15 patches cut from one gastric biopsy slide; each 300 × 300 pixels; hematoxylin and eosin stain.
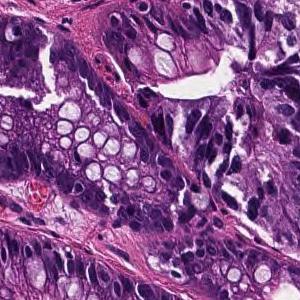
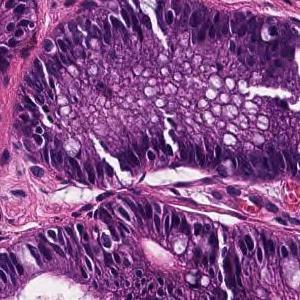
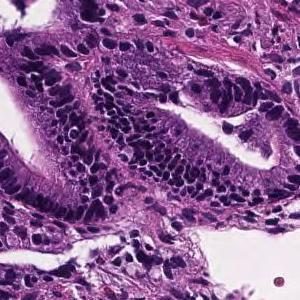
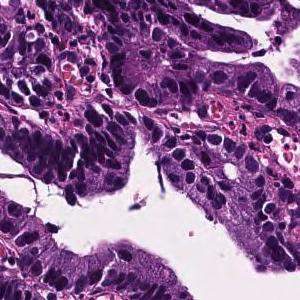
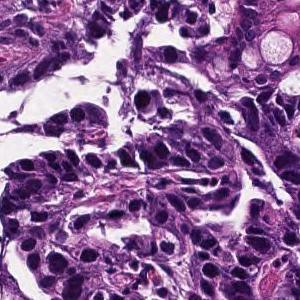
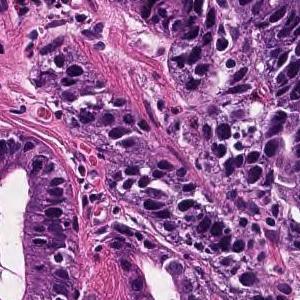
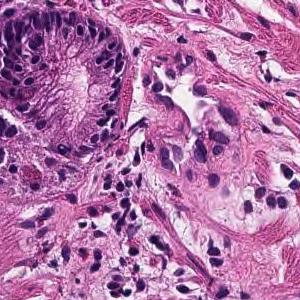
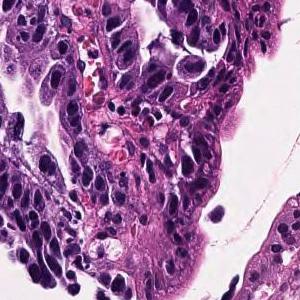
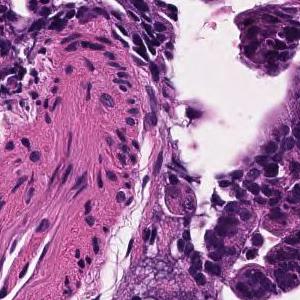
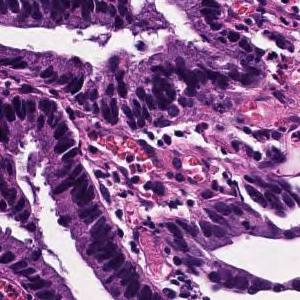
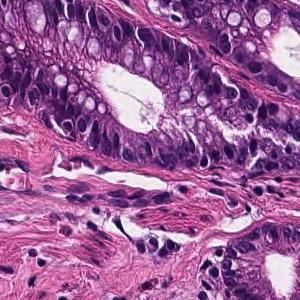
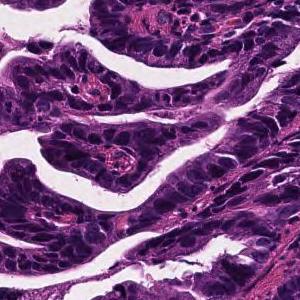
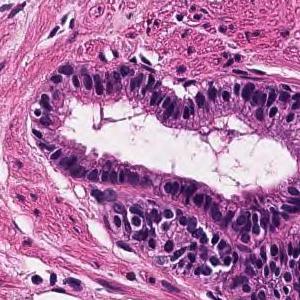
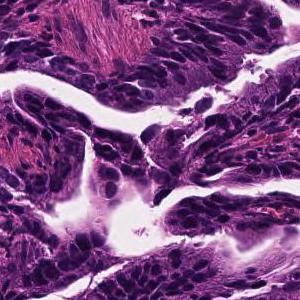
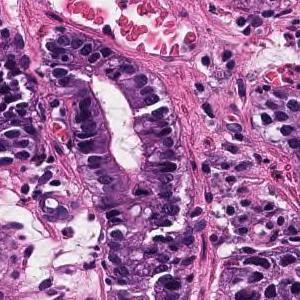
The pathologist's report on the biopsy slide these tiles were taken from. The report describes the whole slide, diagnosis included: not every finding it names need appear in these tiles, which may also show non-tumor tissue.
Tumor cells are large, highly columnar, large club-shaped nuclei, and are associated with chromatin aggregation. Papillary adenocarcinoma.
